H&E, scanned at ×20, 15 image tiles from a single gastric biopsy slide, 300×300 px each.
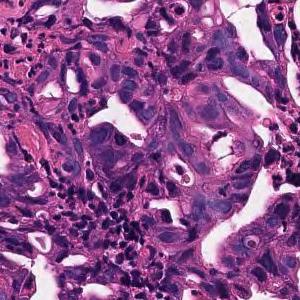
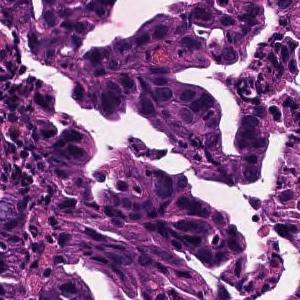
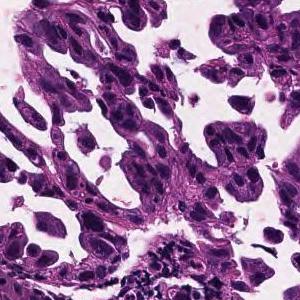
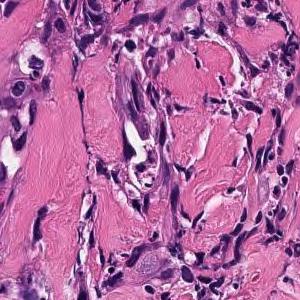
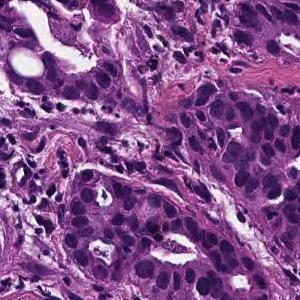
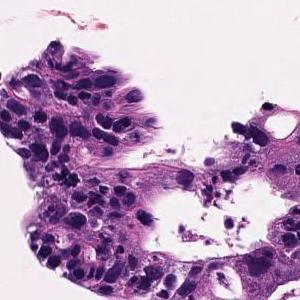
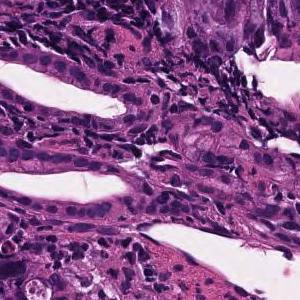
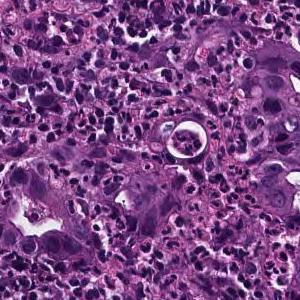
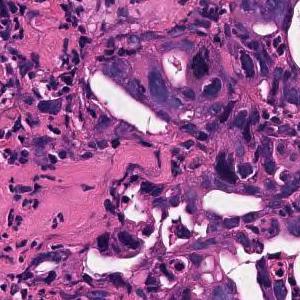
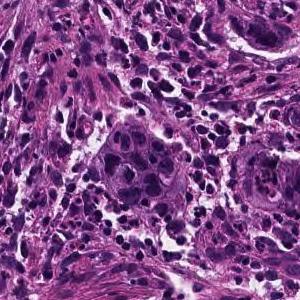
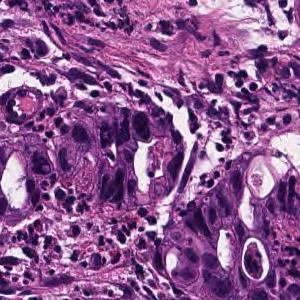
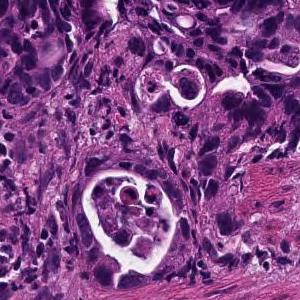
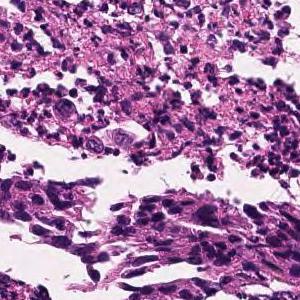
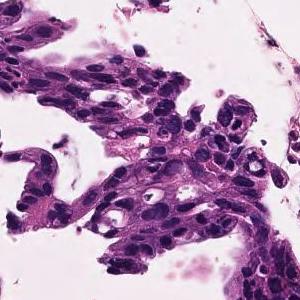
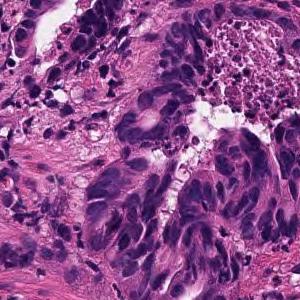
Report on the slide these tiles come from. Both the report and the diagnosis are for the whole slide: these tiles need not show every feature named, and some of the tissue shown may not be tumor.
In the superficial epithelium, medium-sized to small irregular glandular ducts are formed, and in some cases, the glandular ducts are fused or small cord-like infiltrating tumor tissue is observed. moderately differentiated tubular adenocarcinoma
